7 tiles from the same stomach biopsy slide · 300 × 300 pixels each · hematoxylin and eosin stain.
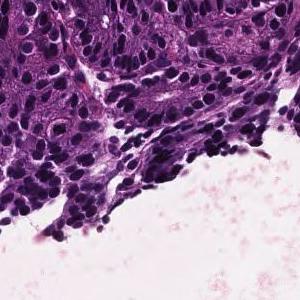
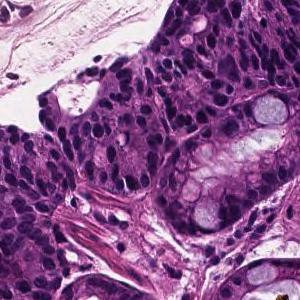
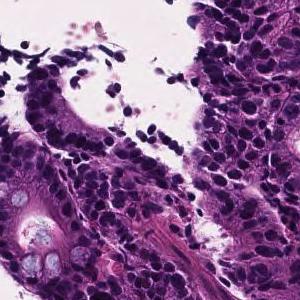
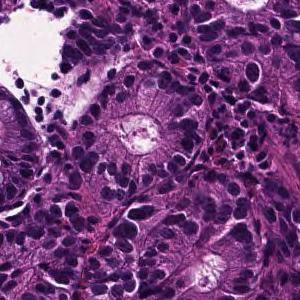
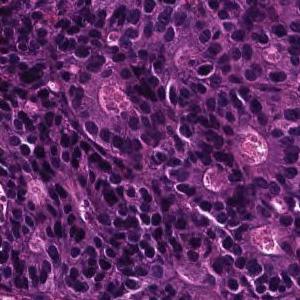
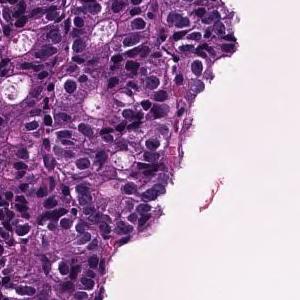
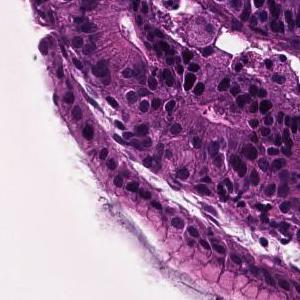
The pathologist's report on the biopsy slide these tiles were taken from. What the report and the diagnosis say applies to the whole slide; these tiles may miss some of the features named and may include tissue that is not tumor.
In the superficial epithelium, tumor tissue that invades by forming medium-sized to small, irregular ducts is observed. moderately differentiated tubular adenocarcinoma.
